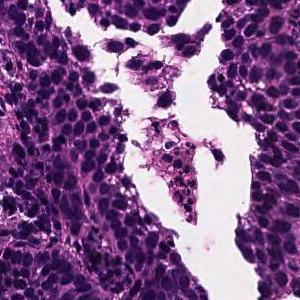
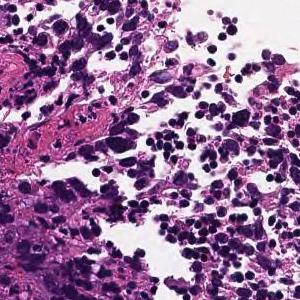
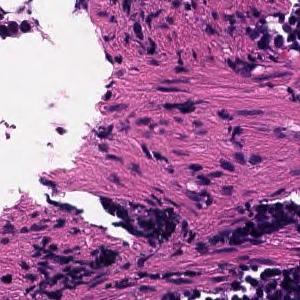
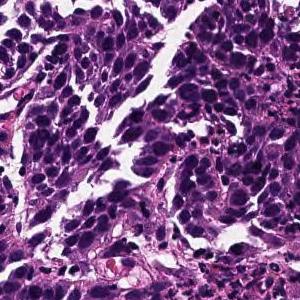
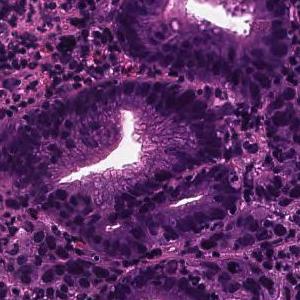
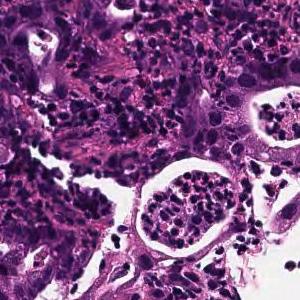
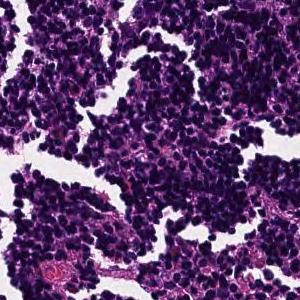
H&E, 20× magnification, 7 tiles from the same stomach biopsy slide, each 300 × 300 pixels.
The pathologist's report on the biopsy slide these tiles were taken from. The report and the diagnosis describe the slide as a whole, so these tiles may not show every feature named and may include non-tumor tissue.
Tumor tissue consisting of cord-like or small, irregular glandular ducts fused and infiltrated is observed in the superficial epithelium. Poorly differentiated adenocarcinoma, non-solid type
The term "non-solid type" comes from the Japanese Classification of Gastric Carcinoma.
